6 image tiles from a single gastric biopsy slide.
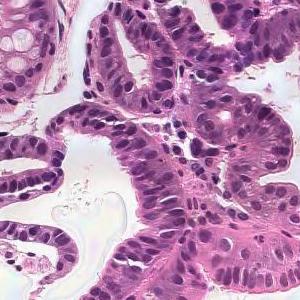
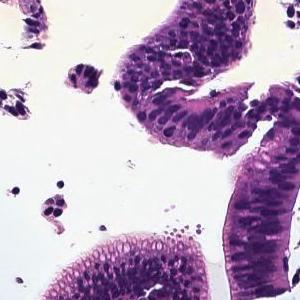
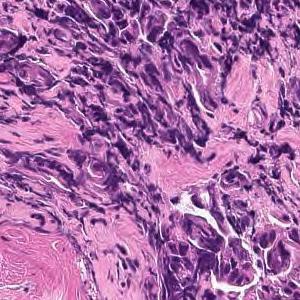
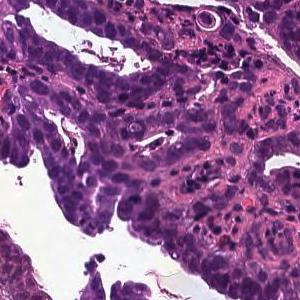
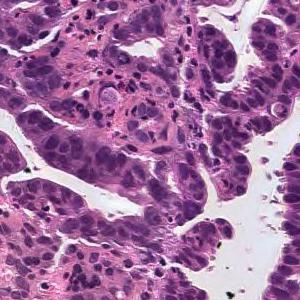
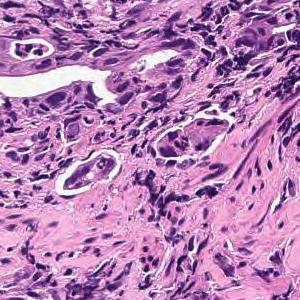
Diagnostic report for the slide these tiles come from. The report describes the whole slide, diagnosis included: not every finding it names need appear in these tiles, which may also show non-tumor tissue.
From the superficial epithelium to the muscularis mucosae, tumor tissue consisting of medium-sized and irregular glandular ducts infiltrating is observed. Well differentiated tubular adenocarcinoma
